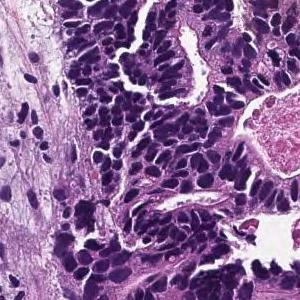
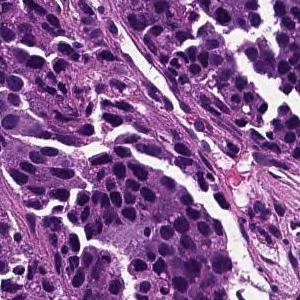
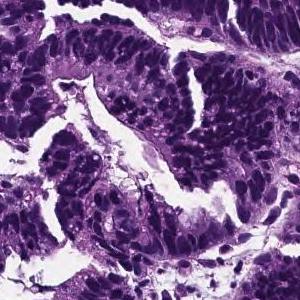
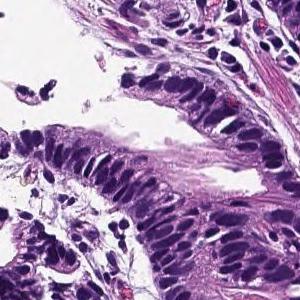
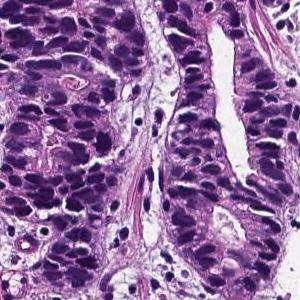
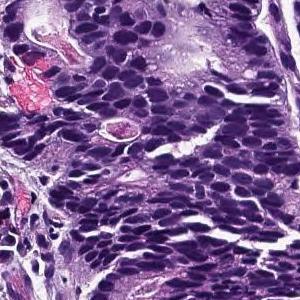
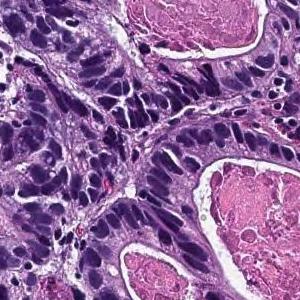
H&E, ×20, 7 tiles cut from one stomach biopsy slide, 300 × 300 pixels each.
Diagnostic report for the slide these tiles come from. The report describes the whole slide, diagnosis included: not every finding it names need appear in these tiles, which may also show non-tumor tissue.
From the superficial epithelium to the muscularis mucosae, tumor tissue consisting of medium-sized and irregular glandular ducts infiltrating is observed. Well differentiated tubular adenocarcinoma
